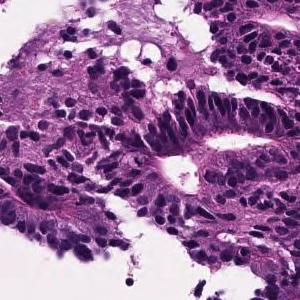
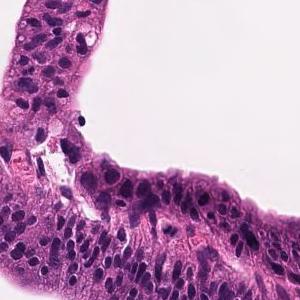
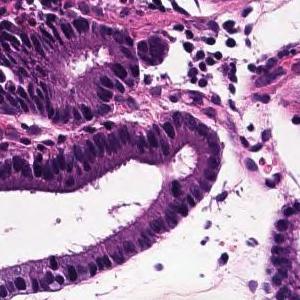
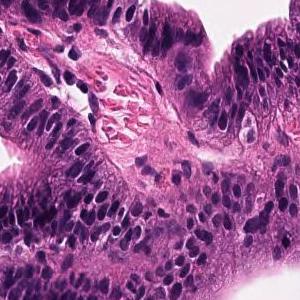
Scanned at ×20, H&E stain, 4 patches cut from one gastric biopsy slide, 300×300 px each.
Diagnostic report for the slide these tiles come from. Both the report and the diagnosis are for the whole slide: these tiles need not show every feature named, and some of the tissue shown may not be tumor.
Tumor tissue that remains within the superficial epithelium and is infiltrated by large papillary or irregular ducts that fuse with each other is observed. Well differentiated tubular adenocarcinoma
